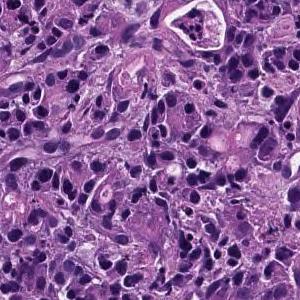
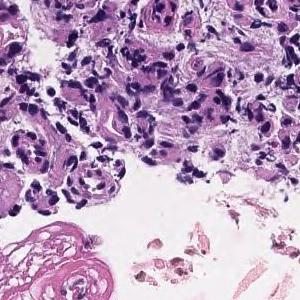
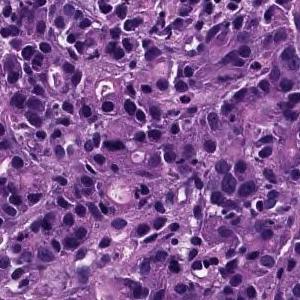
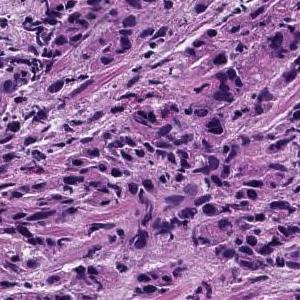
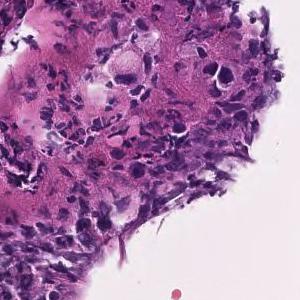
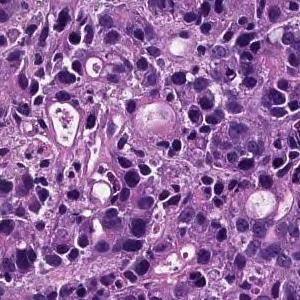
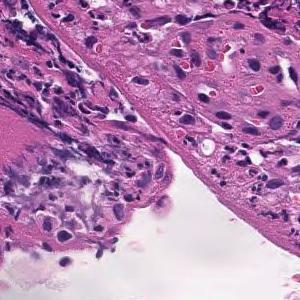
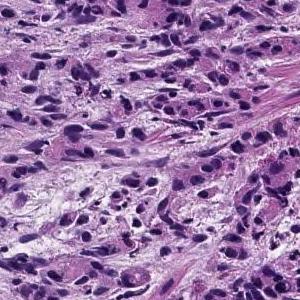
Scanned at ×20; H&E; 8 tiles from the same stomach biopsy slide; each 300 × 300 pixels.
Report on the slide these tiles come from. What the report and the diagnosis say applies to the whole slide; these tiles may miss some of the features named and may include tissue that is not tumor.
The superficial epithelium shows a large sheet-like shape, and some tumor tissue infiltrates with small irregular ducts. Poorly differentiated adenocarcinoma, solid-type
Classified as poorly differentiated adenocarcinoma, solid type, a category of the Japanese Classification of Gastric Carcinoma; in the WHO 2019 classification it is tubular adenocarcinoma, poorly differentiated.
